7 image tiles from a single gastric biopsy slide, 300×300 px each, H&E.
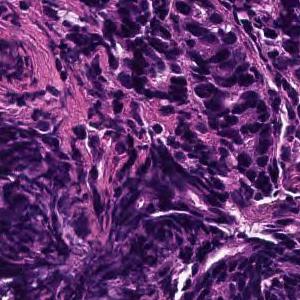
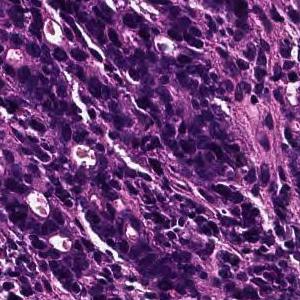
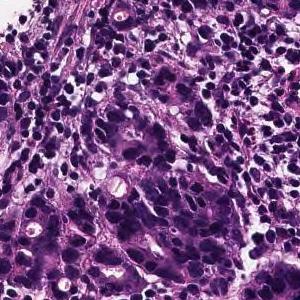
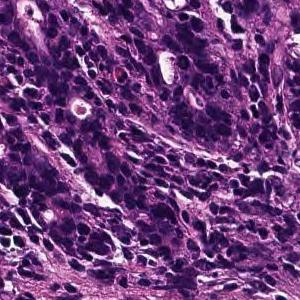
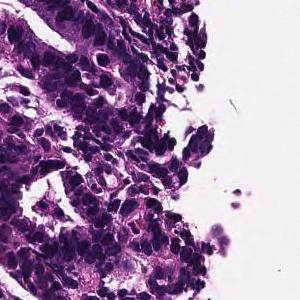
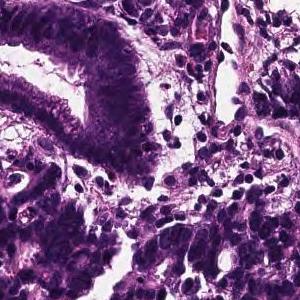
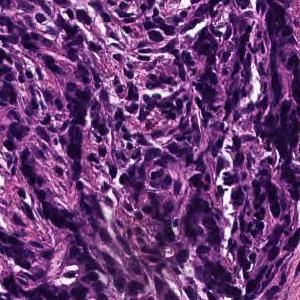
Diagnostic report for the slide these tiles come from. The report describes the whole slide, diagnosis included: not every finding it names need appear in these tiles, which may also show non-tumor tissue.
On the superficial epithelium, tumor tissue is found in which medium-sized irregular gland ducts fuse with each other and infiltrate. moderately differentiated tubular adenocarcinoma or Poorly differentiated adenocarcinoma, non-solid type
Subtype: Moderately to poorly differentiated adenocarcinoma.
The term "non-solid type" comes from the Japanese Classification of Gastric Carcinoma.
